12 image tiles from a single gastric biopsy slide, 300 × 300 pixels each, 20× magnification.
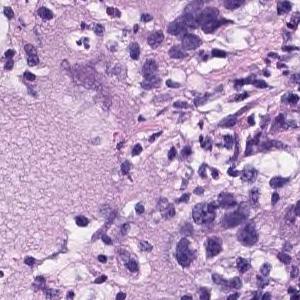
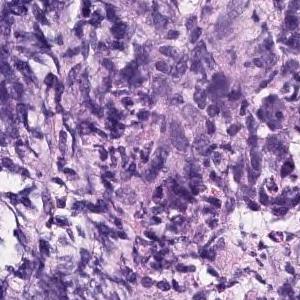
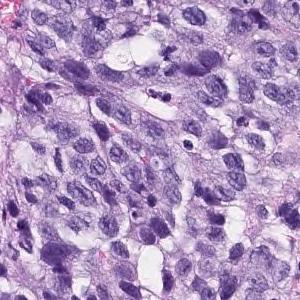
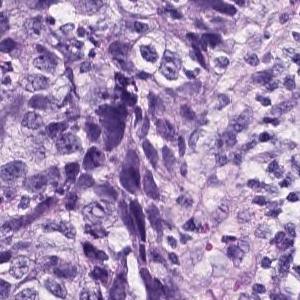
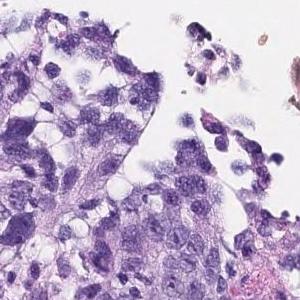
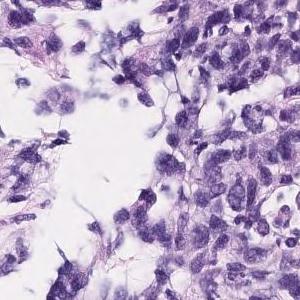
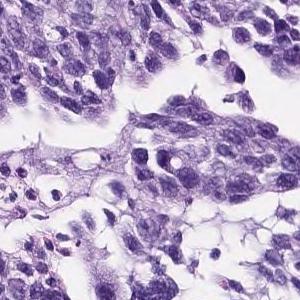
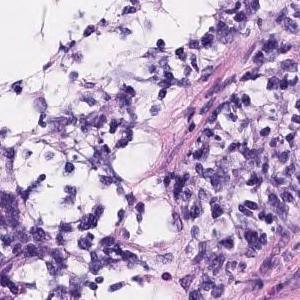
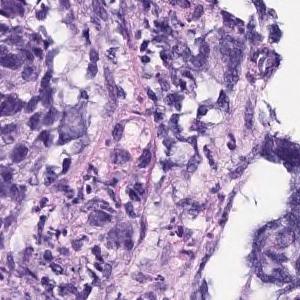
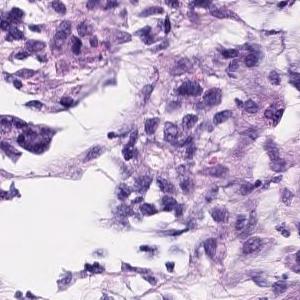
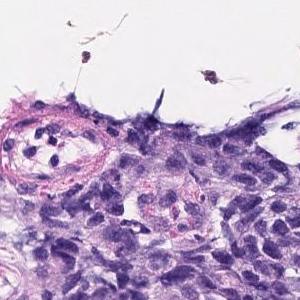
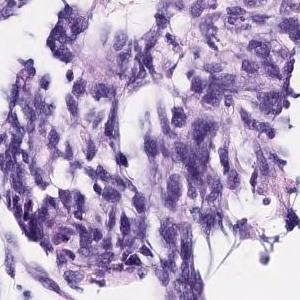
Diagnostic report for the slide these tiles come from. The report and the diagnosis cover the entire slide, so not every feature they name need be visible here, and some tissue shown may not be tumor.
The superficial epithelium shows a large sheet-like shape, and some tumor tissue infiltrates with small irregular ducts. Poorly differentiated adenocarcinoma, solid-type
Histological subtype: Poorly differentiated adenocarcinoma, solid type (Japanese Classification of Gastric Carcinoma). The WHO 2019 equivalent is tubular adenocarcinoma, poorly differentiated.
